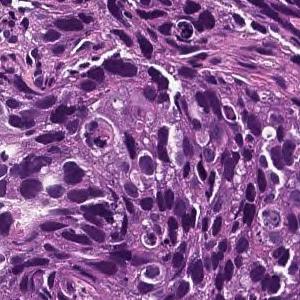
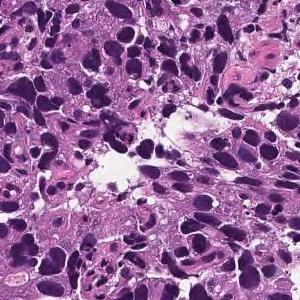
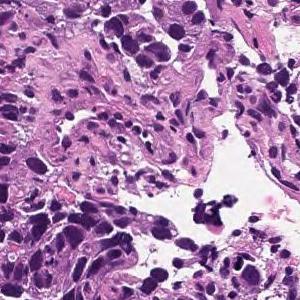
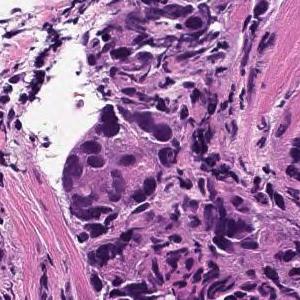
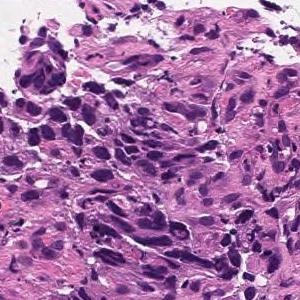
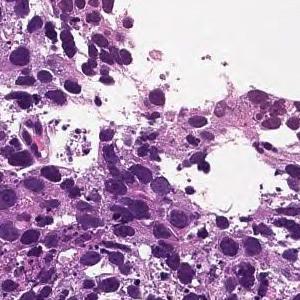
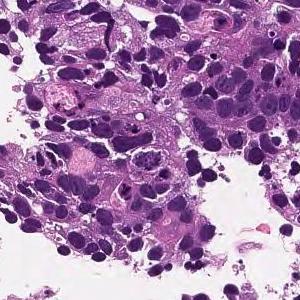
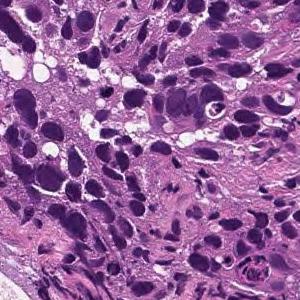
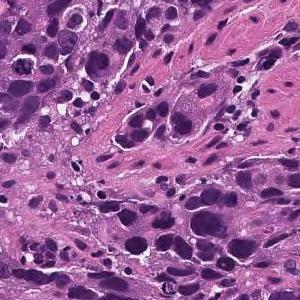
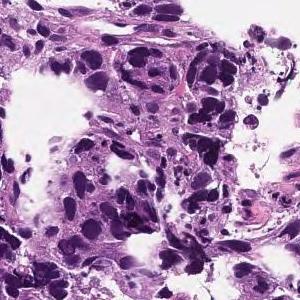
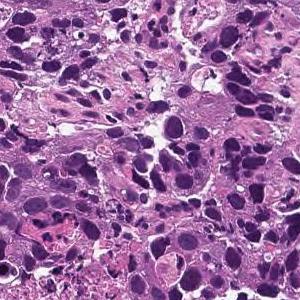
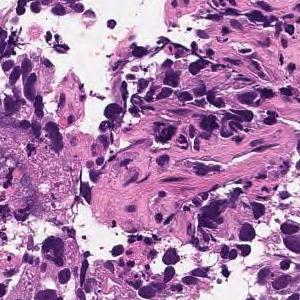
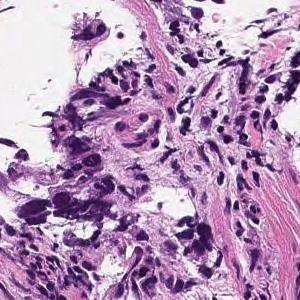
H&E stain, ×20, 13 tiles from the same stomach biopsy slide.
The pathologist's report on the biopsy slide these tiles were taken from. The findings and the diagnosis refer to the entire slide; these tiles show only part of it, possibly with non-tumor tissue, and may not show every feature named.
Tumor cells are medium-sized polygonal with no extracellular mucus production or duct formation. Poorly differentiated adenocarcinoma, solid-type
Subtype: Poorly differentiated adenocarcinoma, solid type (Japanese Classification of Gastric Carcinoma). The WHO 2019 equivalent is tubular adenocarcinoma, poorly differentiated.
